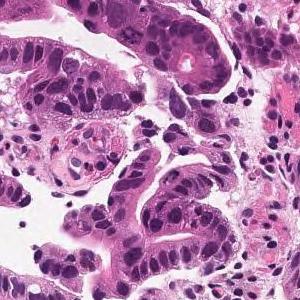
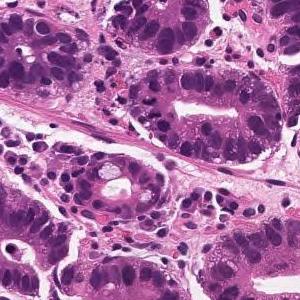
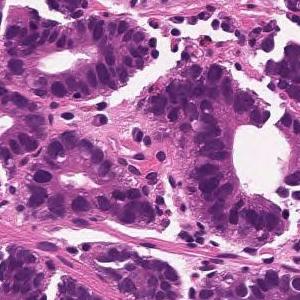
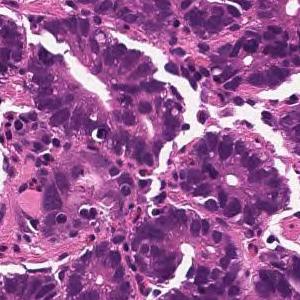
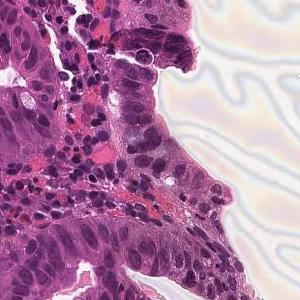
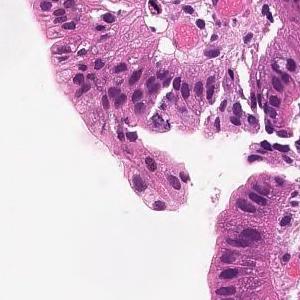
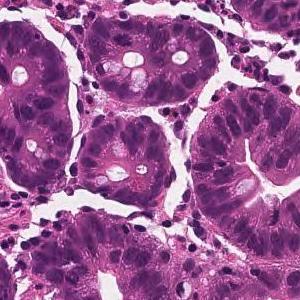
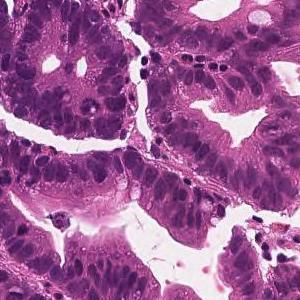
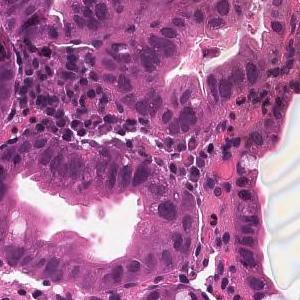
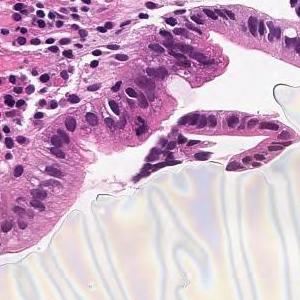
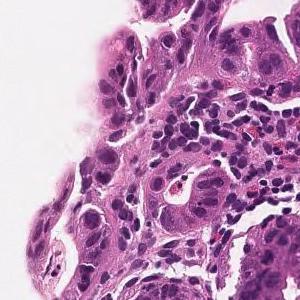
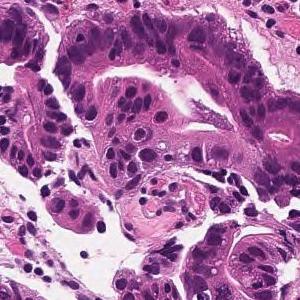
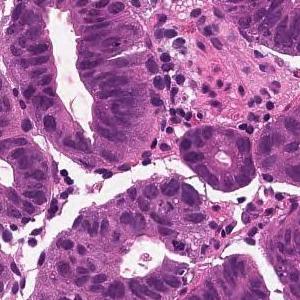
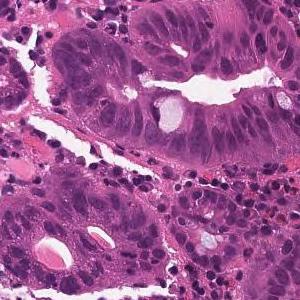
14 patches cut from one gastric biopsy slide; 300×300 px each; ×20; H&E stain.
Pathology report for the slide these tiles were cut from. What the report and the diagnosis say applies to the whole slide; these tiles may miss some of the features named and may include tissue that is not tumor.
From the superficial epithelium to the muscularis mucosae, tumor tissue consisting of medium-sized and irregular glandular ducts infiltrating is observed. Well differentiated tubular adenocarcinoma
